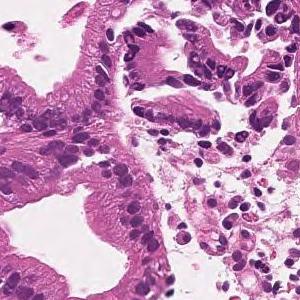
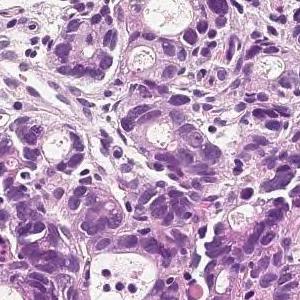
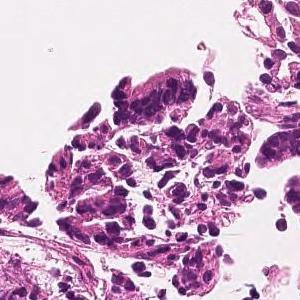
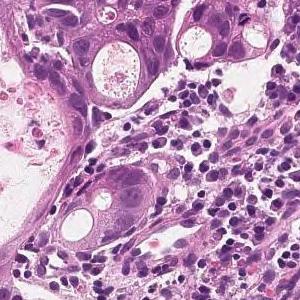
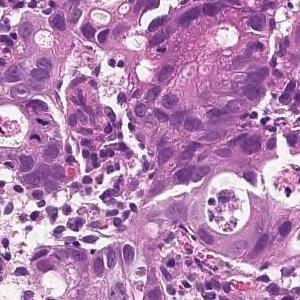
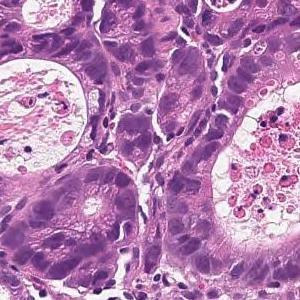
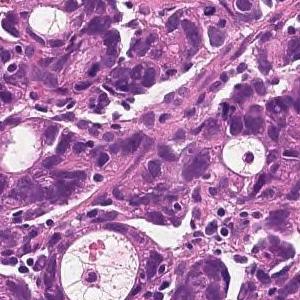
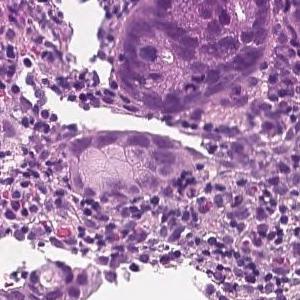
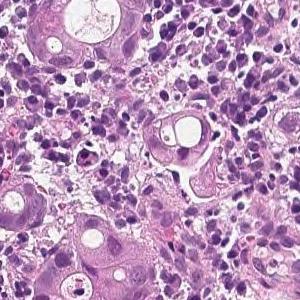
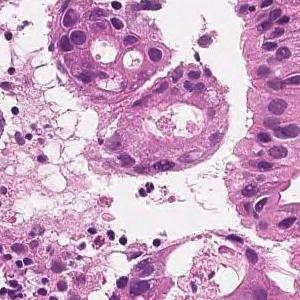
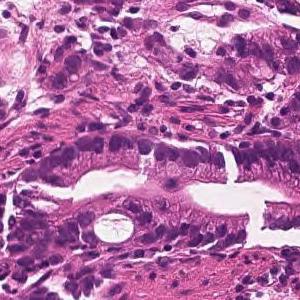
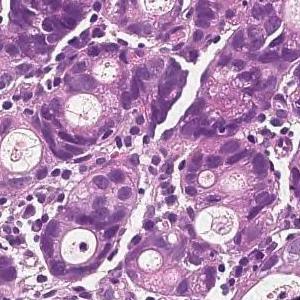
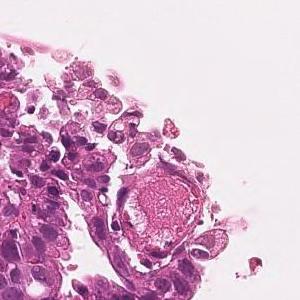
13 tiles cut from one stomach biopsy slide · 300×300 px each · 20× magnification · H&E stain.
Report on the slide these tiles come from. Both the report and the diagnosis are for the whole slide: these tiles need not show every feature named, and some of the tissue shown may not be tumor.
On the superficial epithelium, tumor tissue is found in which medium-sized irregular gland ducts fuse with each other and infiltrate. moderately differentiated tubular adenocarcinoma
